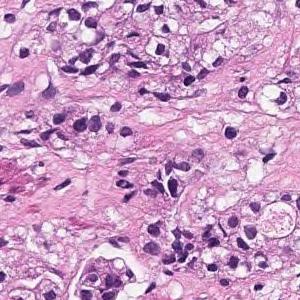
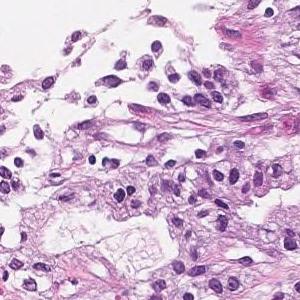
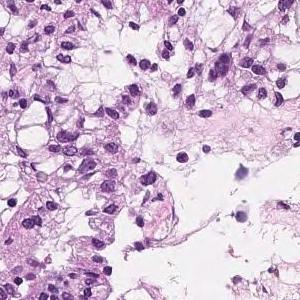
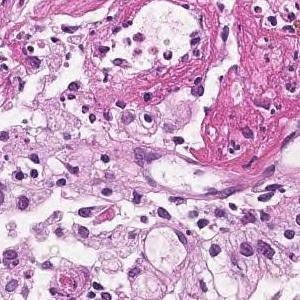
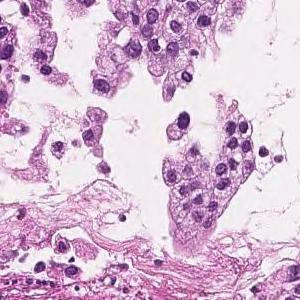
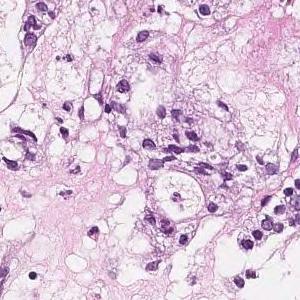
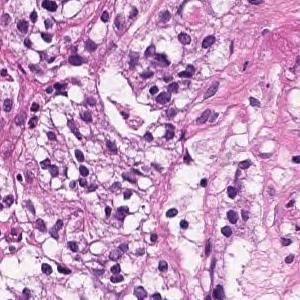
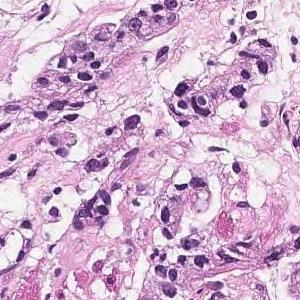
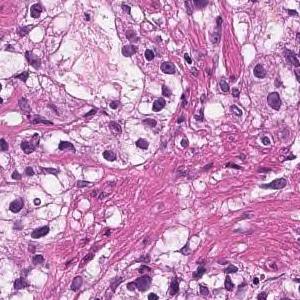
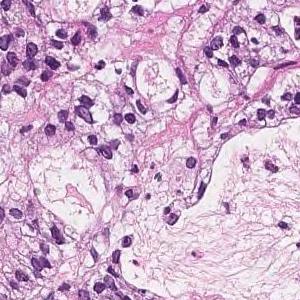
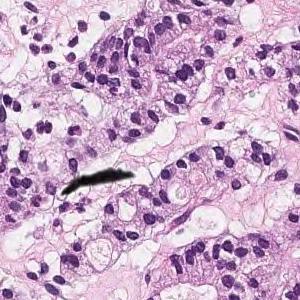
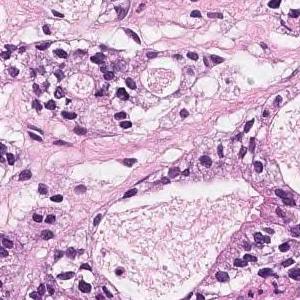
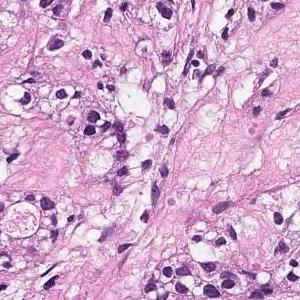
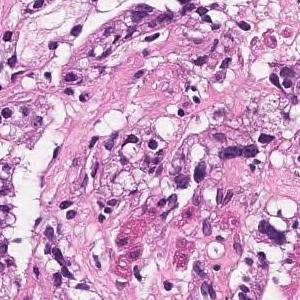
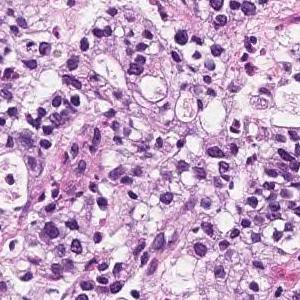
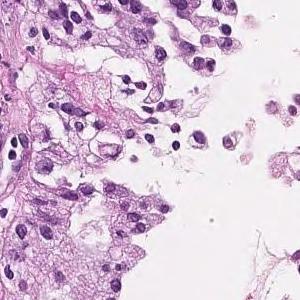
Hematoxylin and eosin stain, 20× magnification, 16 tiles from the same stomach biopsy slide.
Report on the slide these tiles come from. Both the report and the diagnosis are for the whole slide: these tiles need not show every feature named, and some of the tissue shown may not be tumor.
In the superficial epithelium, tumor tissue that invades by forming medium-sized to small, irregular ducts is observed. moderately differentiated tubular adenocarcinoma.
